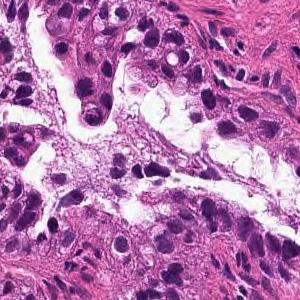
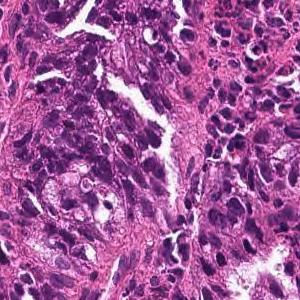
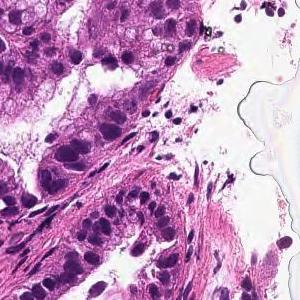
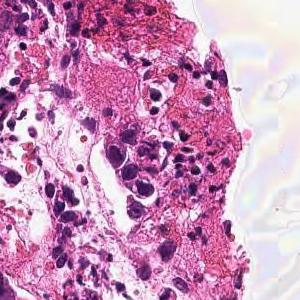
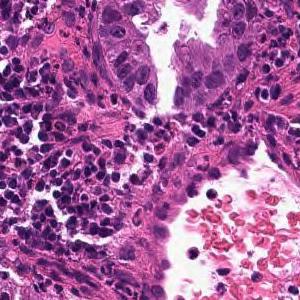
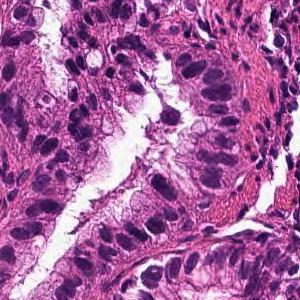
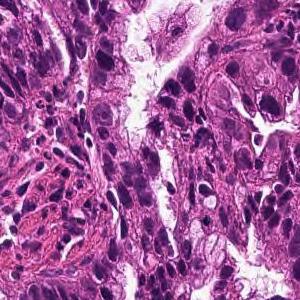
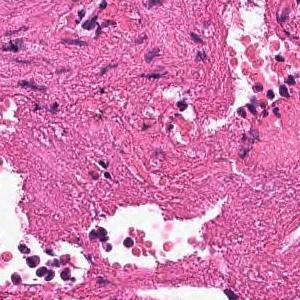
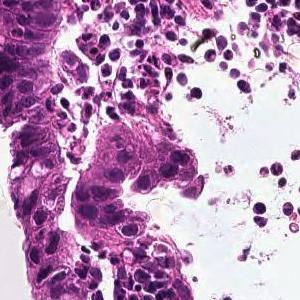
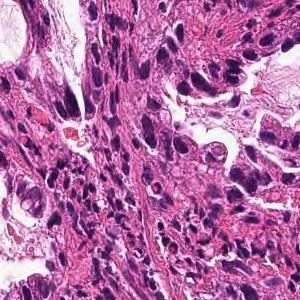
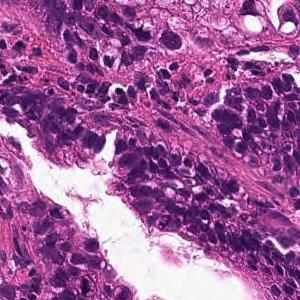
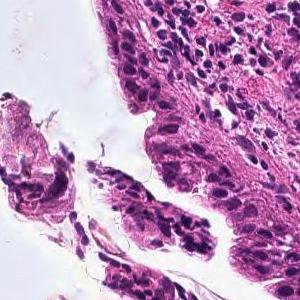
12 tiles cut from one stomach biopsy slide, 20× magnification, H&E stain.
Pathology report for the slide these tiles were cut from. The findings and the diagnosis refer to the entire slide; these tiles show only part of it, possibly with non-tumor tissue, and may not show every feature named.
From the superficial epithelium to the muscularis mucosae, tumor tissue infiltrating by forming medium-sized irregular gland ducts is observed. Well differentiated tubular adenocarcinoma
